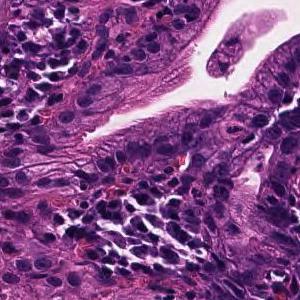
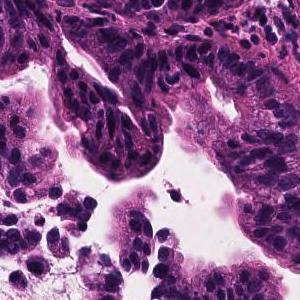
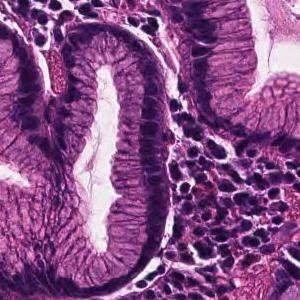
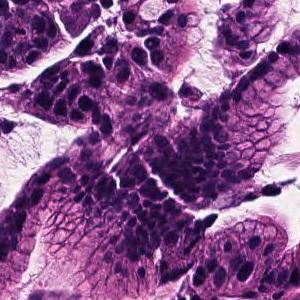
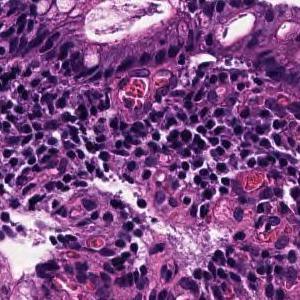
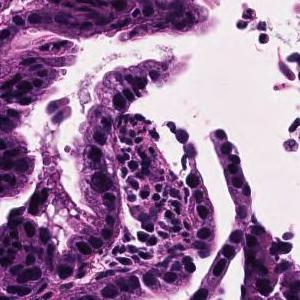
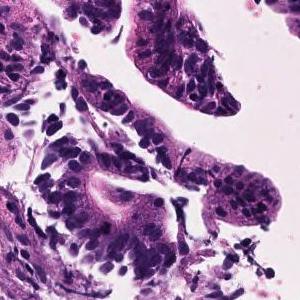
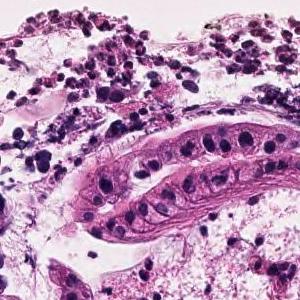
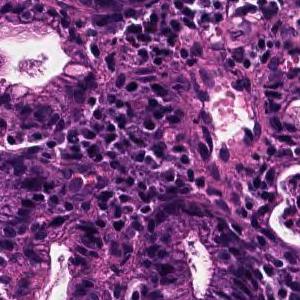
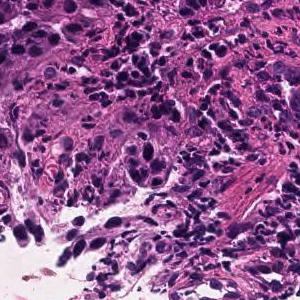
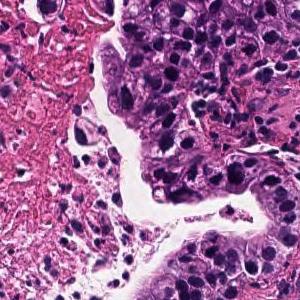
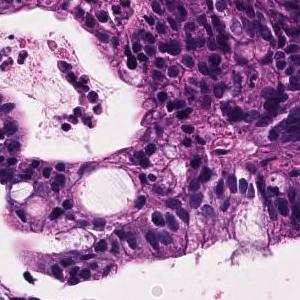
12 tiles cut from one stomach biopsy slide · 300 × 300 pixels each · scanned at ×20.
Report on the slide these tiles come from. The findings and the diagnosis refer to the entire slide; these tiles show only part of it, possibly with non-tumor tissue, and may not show every feature named.
Tumor cells are large, highly columnar, large club-shaped nuclei, and are associated with chromatin aggregation. Papillary adenocarcinoma.
